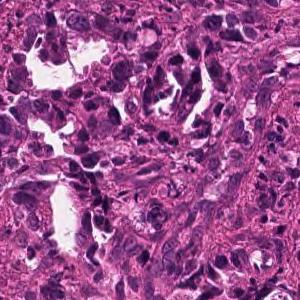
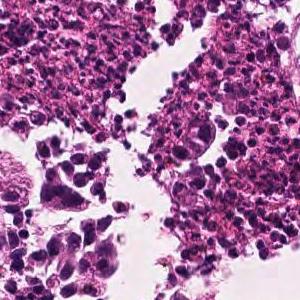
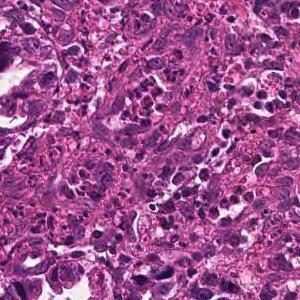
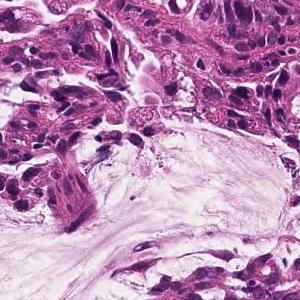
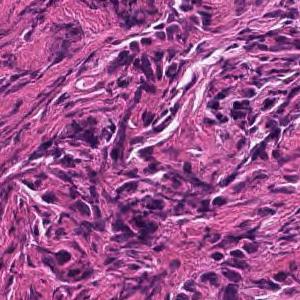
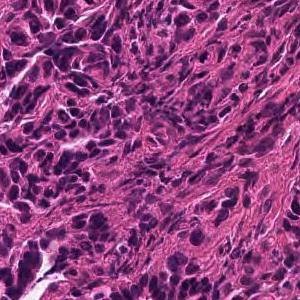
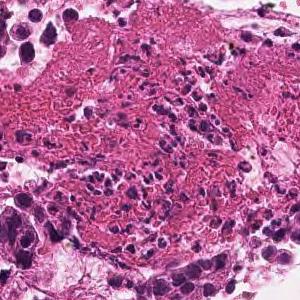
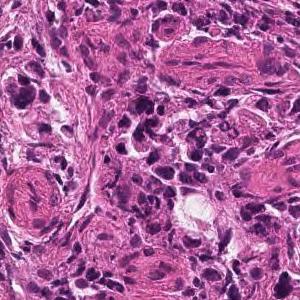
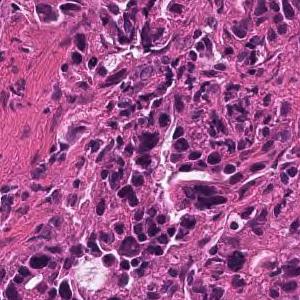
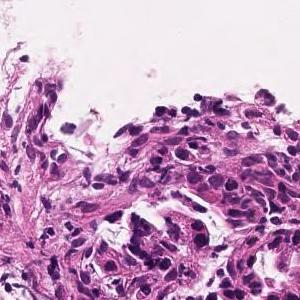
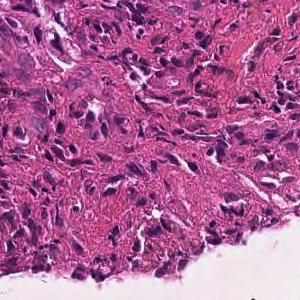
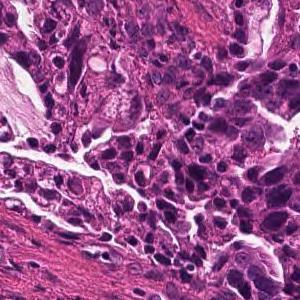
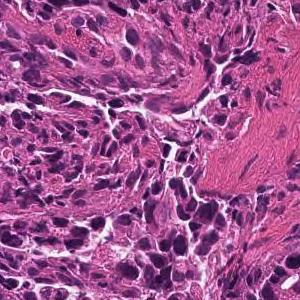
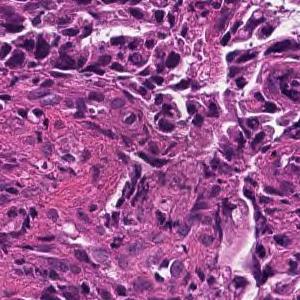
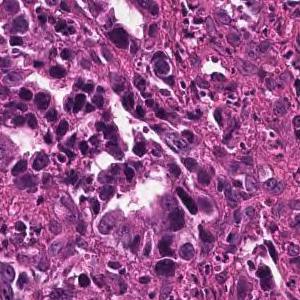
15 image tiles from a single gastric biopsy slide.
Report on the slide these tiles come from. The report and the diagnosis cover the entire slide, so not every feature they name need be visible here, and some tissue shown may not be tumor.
In the superficial epithelium, tumor tissue that invades by forming medium-sized to small, irregular ducts is observed. moderately differentiated tubular adenocarcinoma.
